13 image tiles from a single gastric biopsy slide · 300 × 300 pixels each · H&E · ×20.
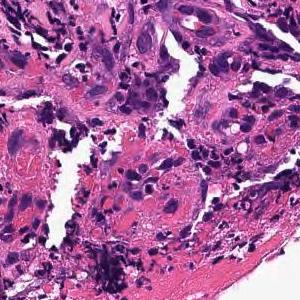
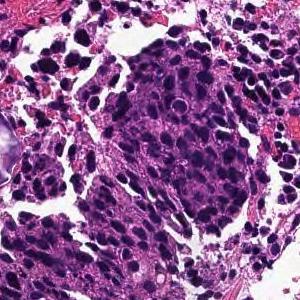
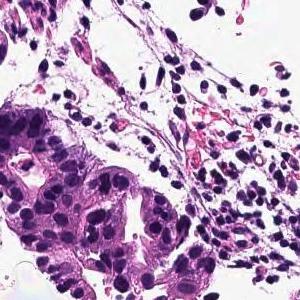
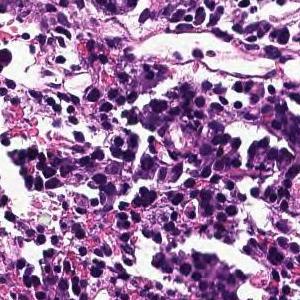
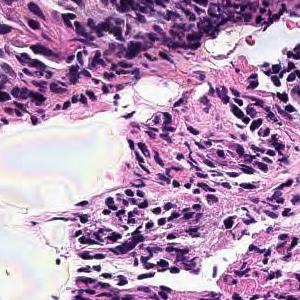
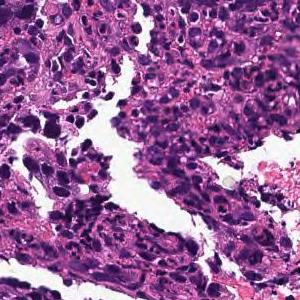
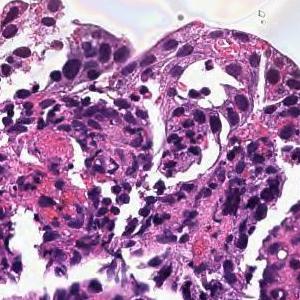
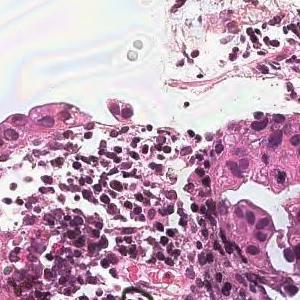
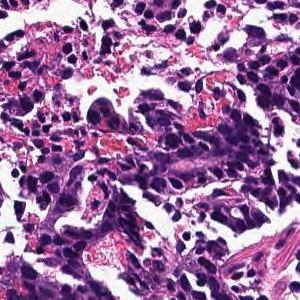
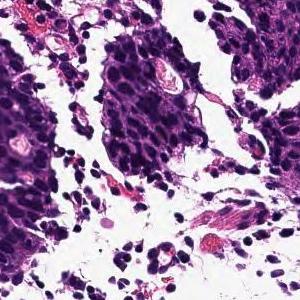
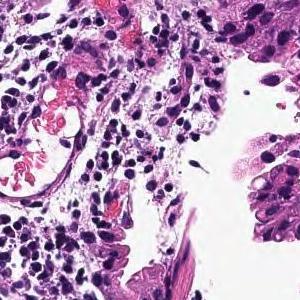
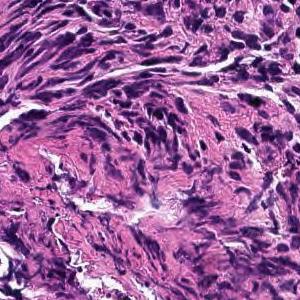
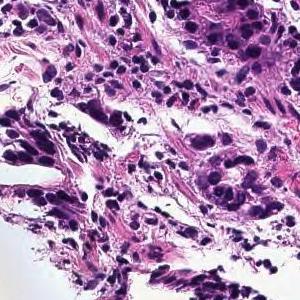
Pathology report for the slide these tiles were cut from. The report describes the whole slide, diagnosis included: not every finding it names need appear in these tiles, which may also show non-tumor tissue.
In the superficial epithelium, tumor tissue that invades by forming medium-sized to small, irregular ducts is observed. moderately differentiated tubular adenocarcinoma.
